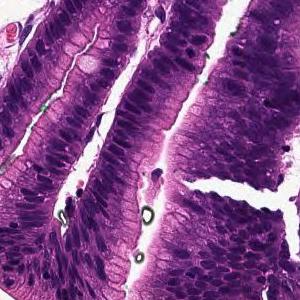
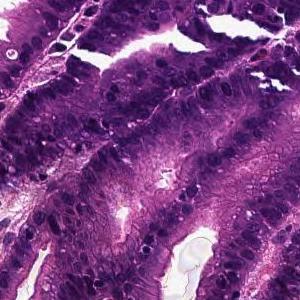
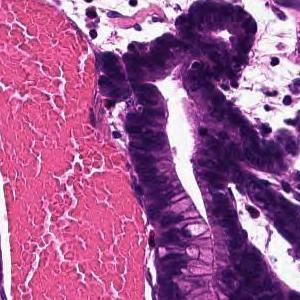
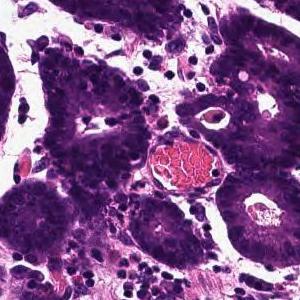
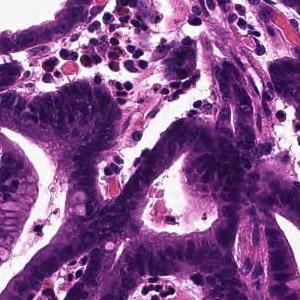
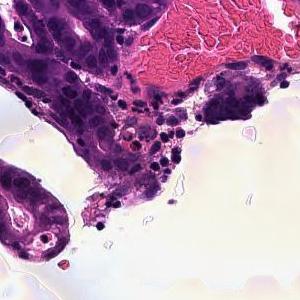
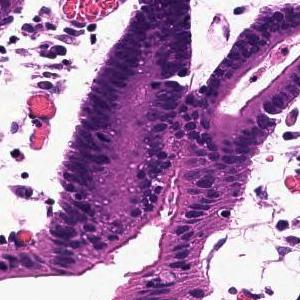
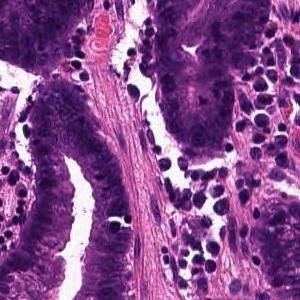
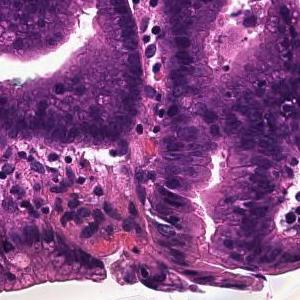
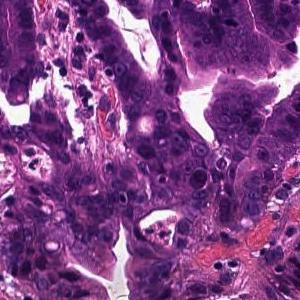
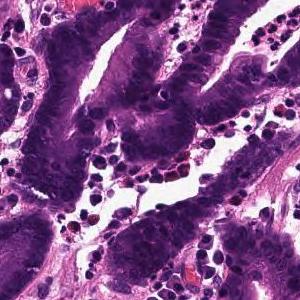
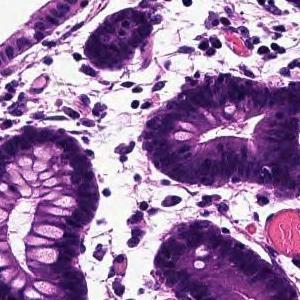
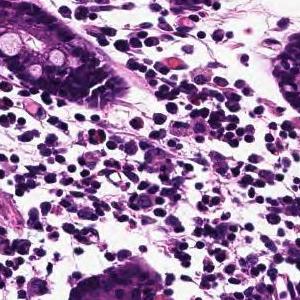
13 tiles from the same stomach biopsy slide, H&E stain.
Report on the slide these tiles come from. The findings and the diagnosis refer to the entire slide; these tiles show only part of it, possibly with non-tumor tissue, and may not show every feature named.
Tumor tissue that infiltrates by forming large papillary or large irregular glandular ducts is observed confined to the mucosa. Papillary adenocarcinoma
